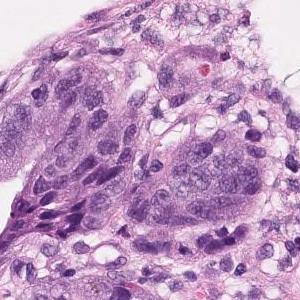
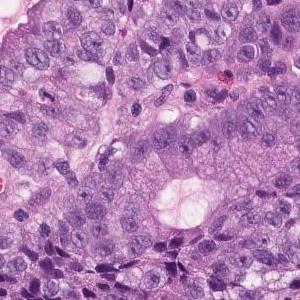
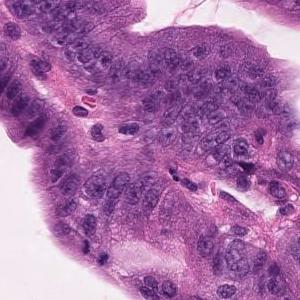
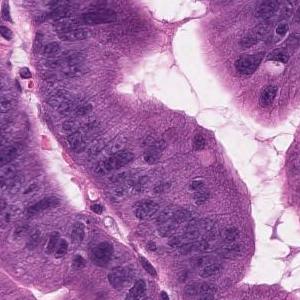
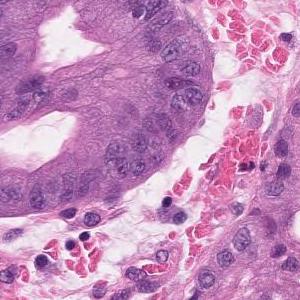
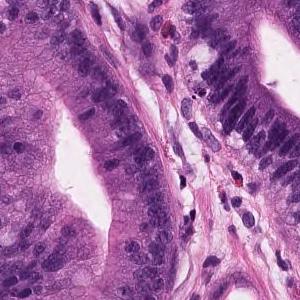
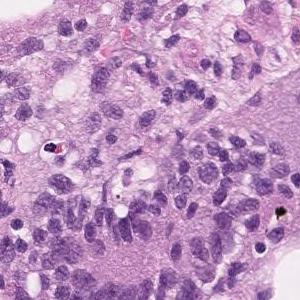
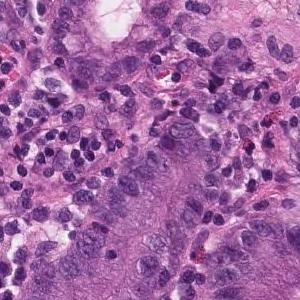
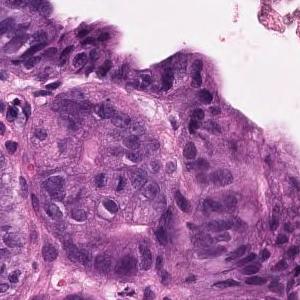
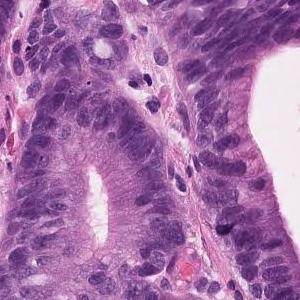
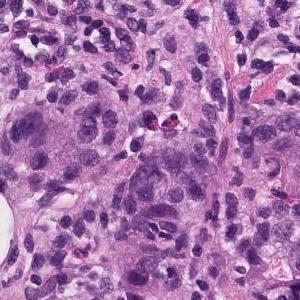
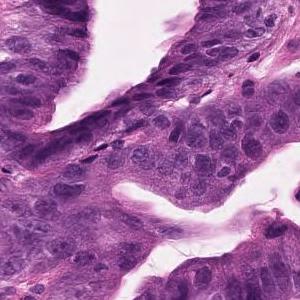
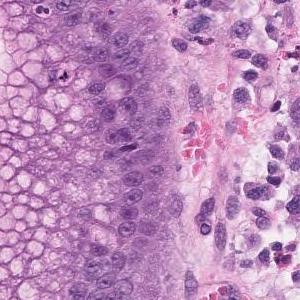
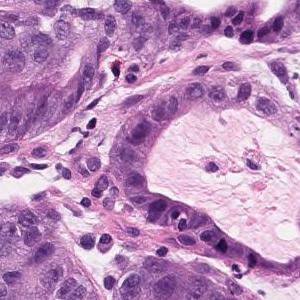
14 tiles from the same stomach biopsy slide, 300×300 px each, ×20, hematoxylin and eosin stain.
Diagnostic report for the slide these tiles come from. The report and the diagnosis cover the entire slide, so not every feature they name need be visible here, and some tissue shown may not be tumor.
On the superficial epithelium, tumor tissue consisting of large, irregular glandular ducts partially fused and infiltrated is observed. Well to moderately differentiated tubular adenocarcinoma (well differentiated tubular adenocarcinoma, moderately differentiated tubular adenocarcinoma)
Histologic type: Well to moderately differentiated tubular adenocarcinoma.
